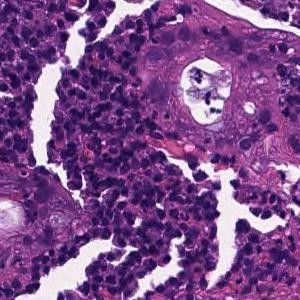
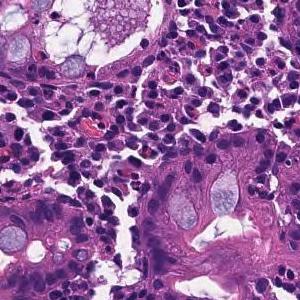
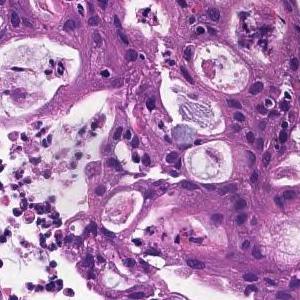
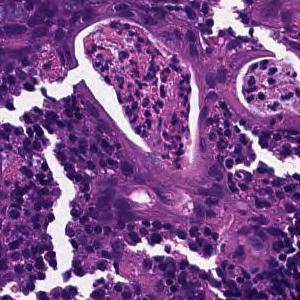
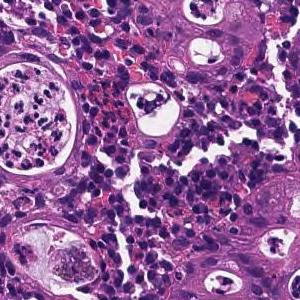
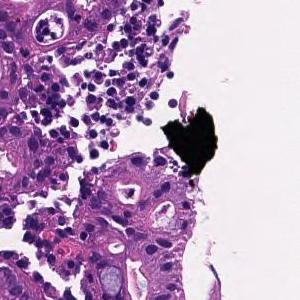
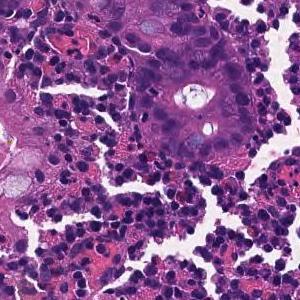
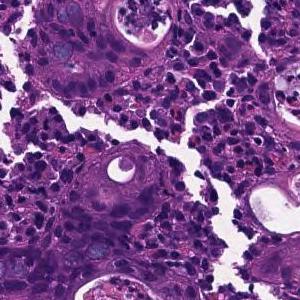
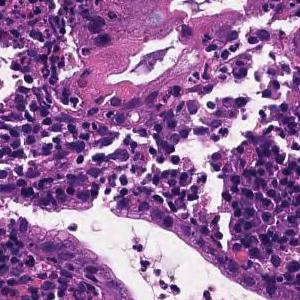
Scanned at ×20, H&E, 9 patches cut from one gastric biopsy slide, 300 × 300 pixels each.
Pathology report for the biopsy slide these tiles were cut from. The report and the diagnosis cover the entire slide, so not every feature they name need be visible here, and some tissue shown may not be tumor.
In the superficial epithelium, tumor tissue that invades by forming medium-sized to small, irregular ducts is observed. moderately differentiated tubular adenocarcinoma.
